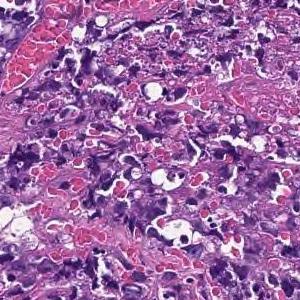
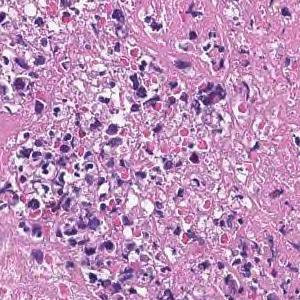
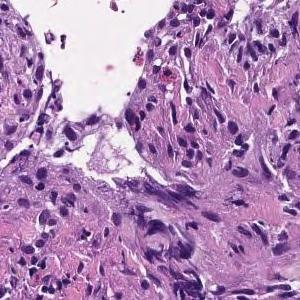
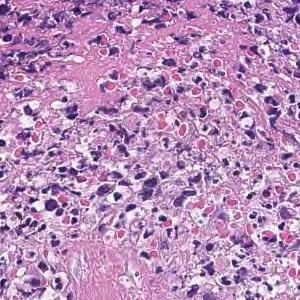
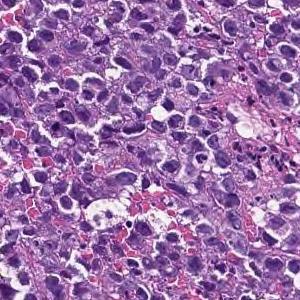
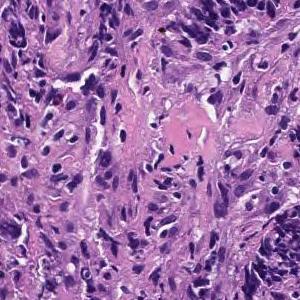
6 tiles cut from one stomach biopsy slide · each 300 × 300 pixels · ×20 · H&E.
Report on the slide these tiles come from. The findings and the diagnosis refer to the entire slide; these tiles show only part of it, possibly with non-tumor tissue, and may not show every feature named.
Most are composed of coagulative necrotic tissue, but some show a large sheet-like shape, and some show tumor tissue infiltrating with a small cord-like structure. Poorly differentiated adenocarcinoma, solid-type
Histological subtype: Poorly differentiated adenocarcinoma, solid type. This name comes from the Japanese Classification of Gastric Carcinoma; the WHO 2019 classification calls it tubular adenocarcinoma, poorly differentiated.
